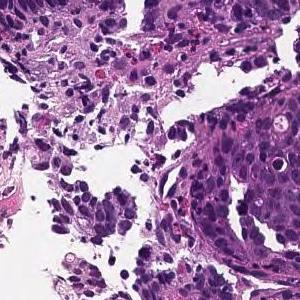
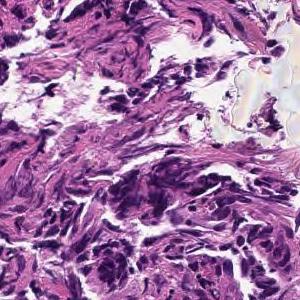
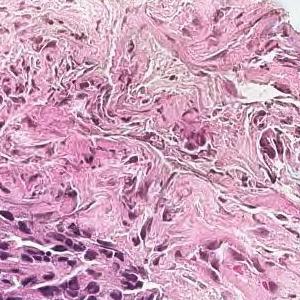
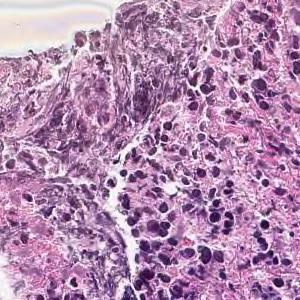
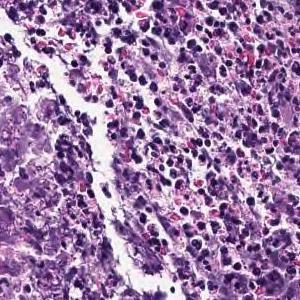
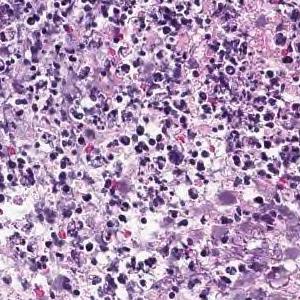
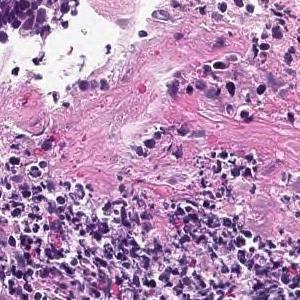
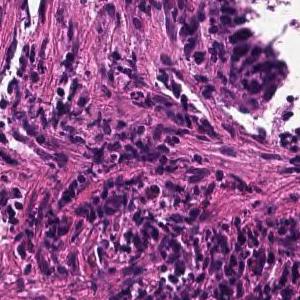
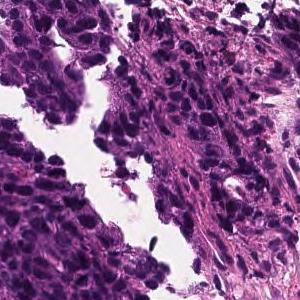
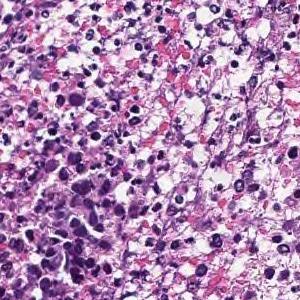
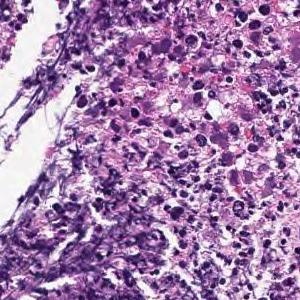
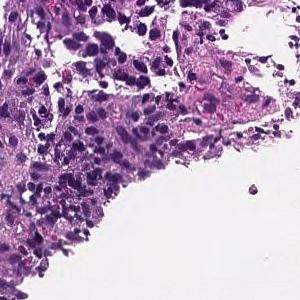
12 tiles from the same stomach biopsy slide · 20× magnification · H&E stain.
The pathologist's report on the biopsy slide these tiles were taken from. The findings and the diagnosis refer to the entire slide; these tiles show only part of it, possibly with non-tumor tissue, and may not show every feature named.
In the superficial epithelium, tumor tissue that invades by forming medium-sized to small, irregular ducts is observed. moderately differentiated tubular adenocarcinoma.
